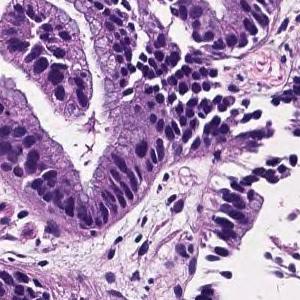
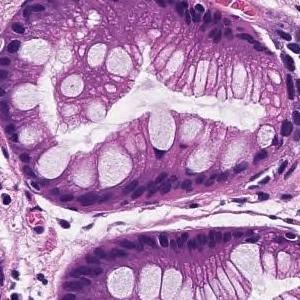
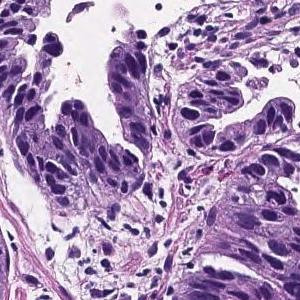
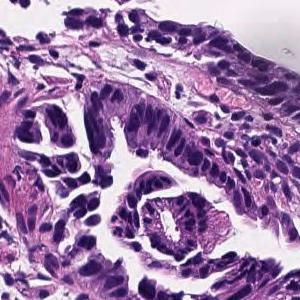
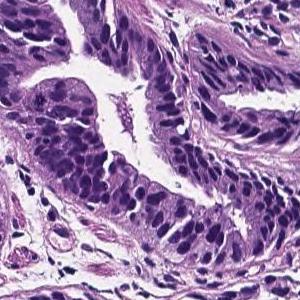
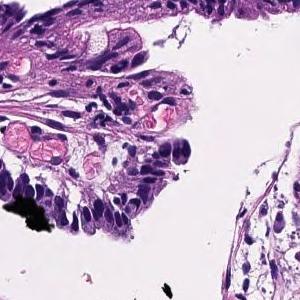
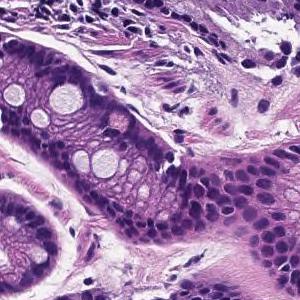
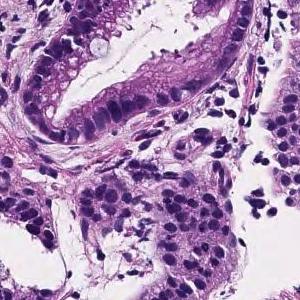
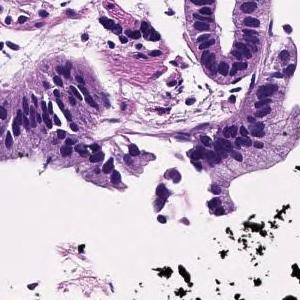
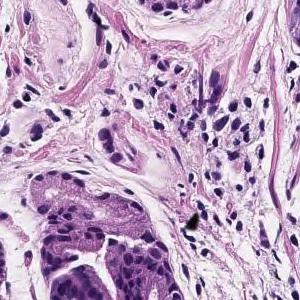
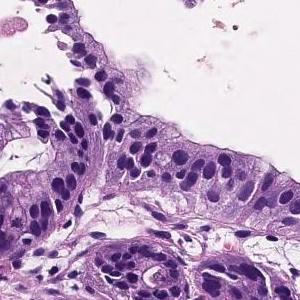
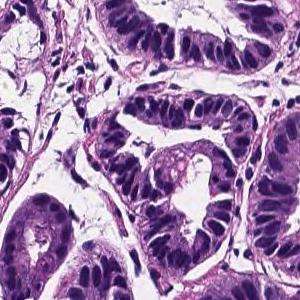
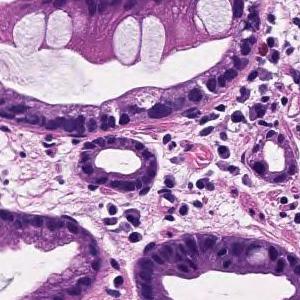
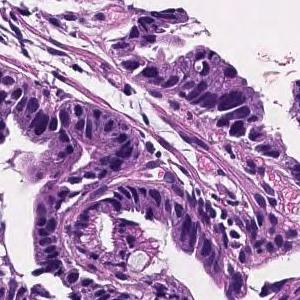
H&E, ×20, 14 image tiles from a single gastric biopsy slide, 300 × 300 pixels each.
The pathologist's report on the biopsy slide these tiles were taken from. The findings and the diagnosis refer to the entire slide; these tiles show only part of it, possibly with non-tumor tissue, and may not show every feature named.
Tumor cells are large, highly columnar, large club-shaped nuclei, and are associated with chromatin aggregation. Papillary adenocarcinoma.
